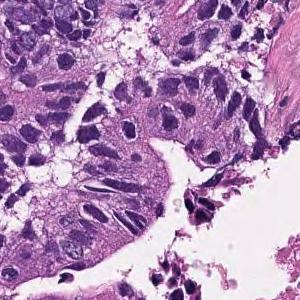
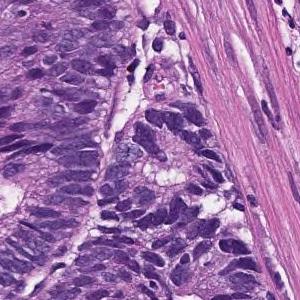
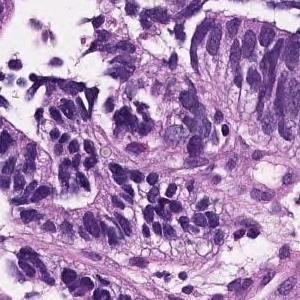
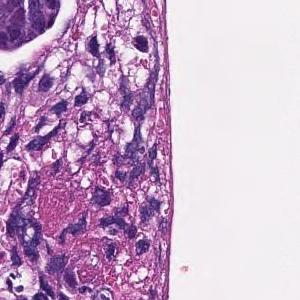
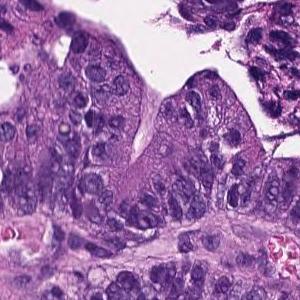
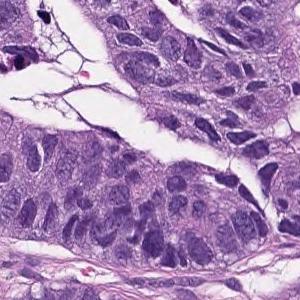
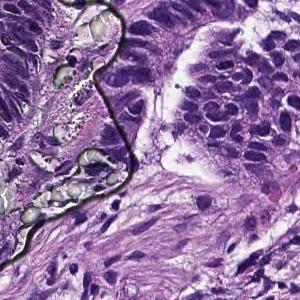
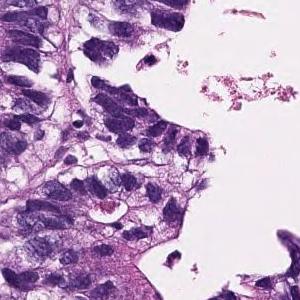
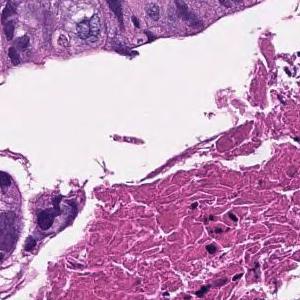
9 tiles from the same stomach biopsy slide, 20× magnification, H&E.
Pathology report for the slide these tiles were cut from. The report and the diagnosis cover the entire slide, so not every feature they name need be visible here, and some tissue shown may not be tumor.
In the superficial epithelium, tumor tissue that invades by forming medium-sized to small, irregular ducts is observed. moderately differentiated tubular adenocarcinoma.
